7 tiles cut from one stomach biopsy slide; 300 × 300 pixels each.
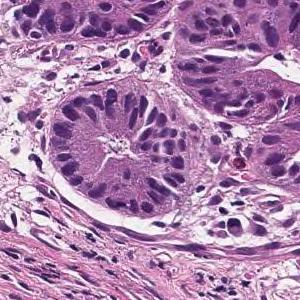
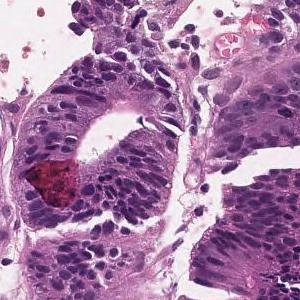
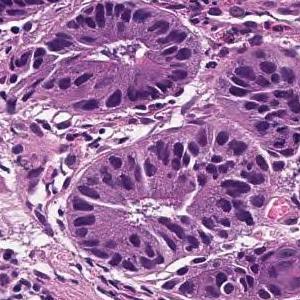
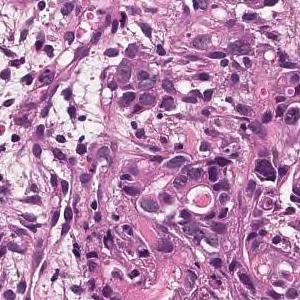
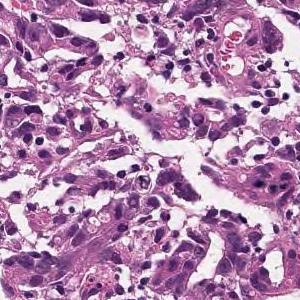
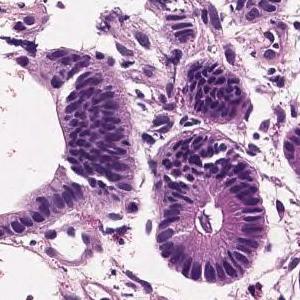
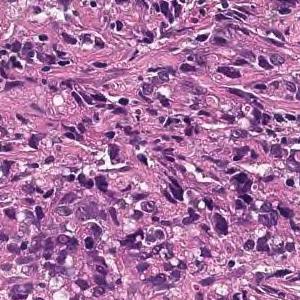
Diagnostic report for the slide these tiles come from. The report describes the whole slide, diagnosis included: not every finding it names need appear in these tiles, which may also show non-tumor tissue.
Tumor tissue consisting of cord-like or small, irregular glandular ducts fused and infiltrated is observed in the superficial epithelium. Poorly differentiated adenocarcinoma, non-solid type
"Non-solid type" is a category of the Japanese Classification of Gastric Carcinoma.
